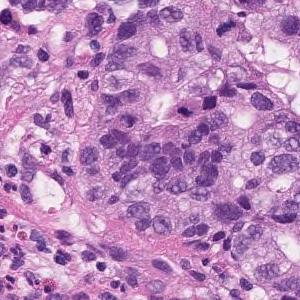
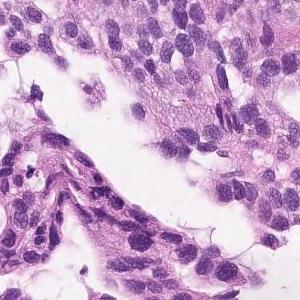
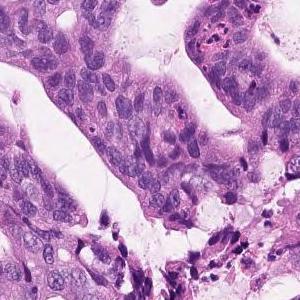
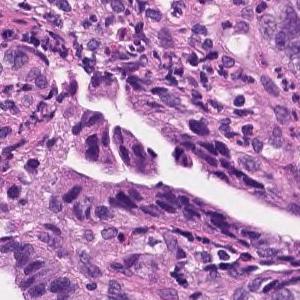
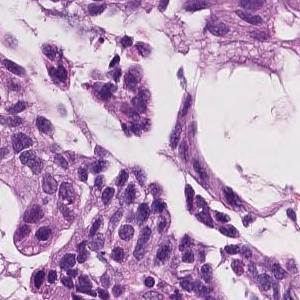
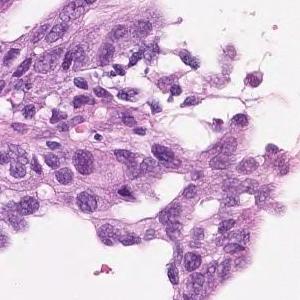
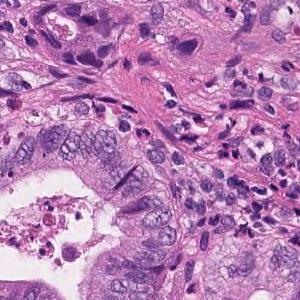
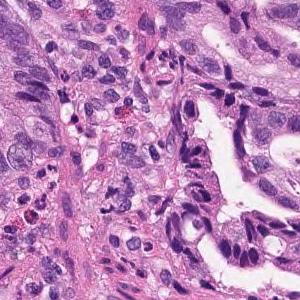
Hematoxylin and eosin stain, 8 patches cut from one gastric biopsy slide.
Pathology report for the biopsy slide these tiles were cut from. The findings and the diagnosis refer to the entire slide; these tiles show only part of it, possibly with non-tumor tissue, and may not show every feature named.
Atypical epithelium forming papillary or sieving ducts and infiltrating growth is observed. Papillary adenocarcinoma.
